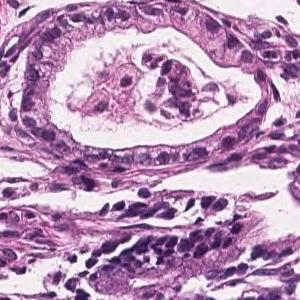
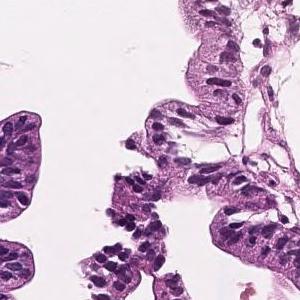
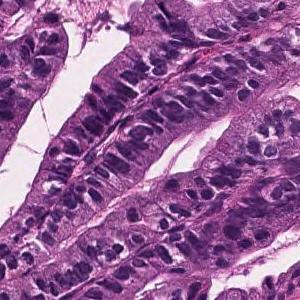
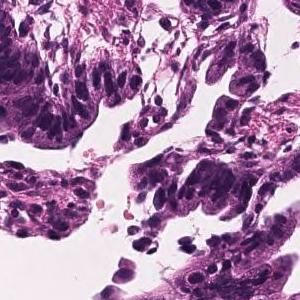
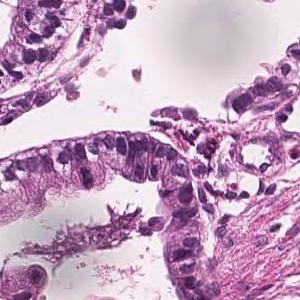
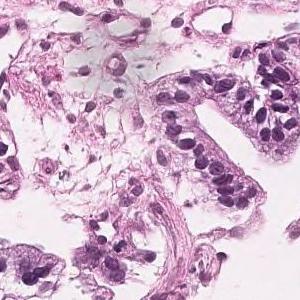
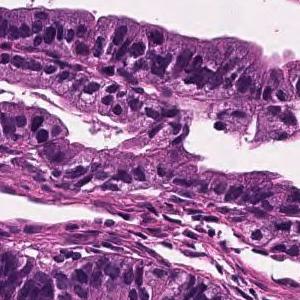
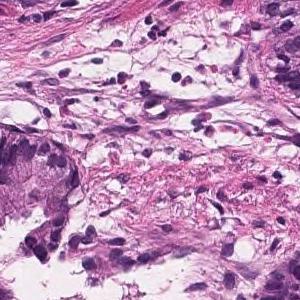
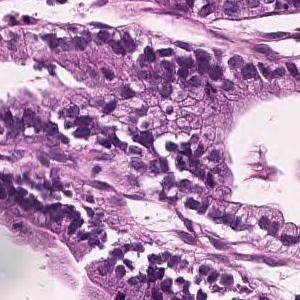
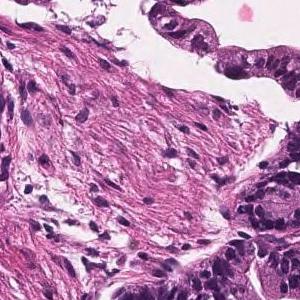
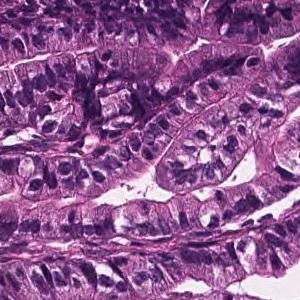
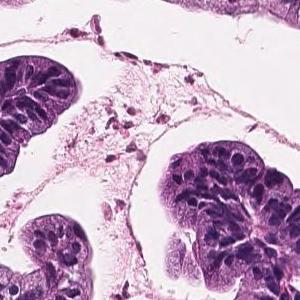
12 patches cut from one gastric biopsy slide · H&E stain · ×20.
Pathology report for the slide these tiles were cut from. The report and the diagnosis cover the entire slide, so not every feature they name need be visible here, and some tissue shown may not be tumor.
Tumor cells are large, highly columnar, large club-shaped nuclei, and are associated with chromatin aggregation. Papillary adenocarcinoma.
